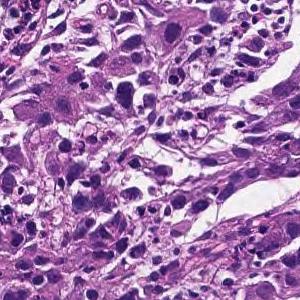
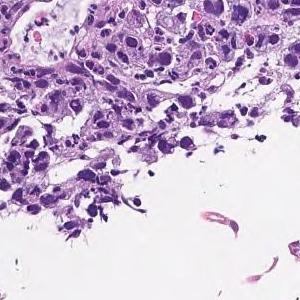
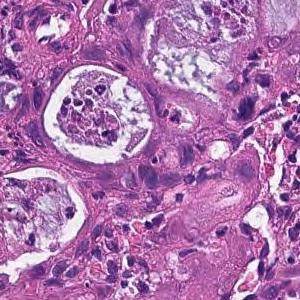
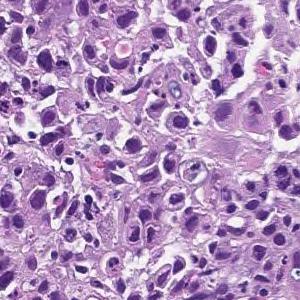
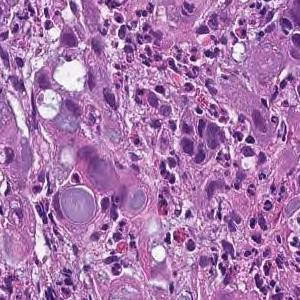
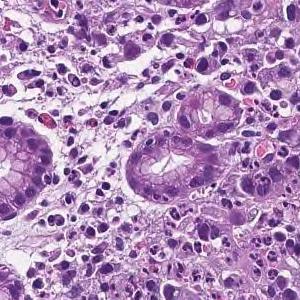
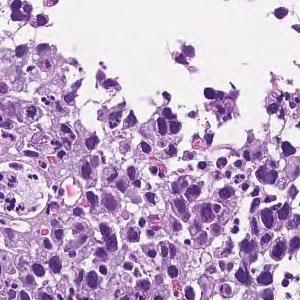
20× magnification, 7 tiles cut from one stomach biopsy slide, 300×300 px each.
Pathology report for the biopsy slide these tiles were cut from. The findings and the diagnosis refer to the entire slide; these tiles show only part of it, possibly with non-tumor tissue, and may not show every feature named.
The superficial epithelium shows a large sheet-like shape, and some tumor tissue infiltrates with small irregular ducts. Poorly differentiated adenocarcinoma, solid-type
Histologic type: Poorly differentiated adenocarcinoma, solid type (Japanese Classification of Gastric Carcinoma). The WHO 2019 equivalent is tubular adenocarcinoma, poorly differentiated.
